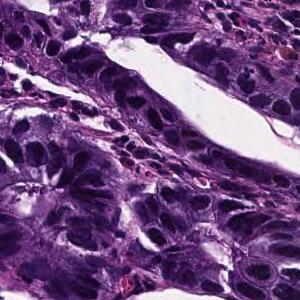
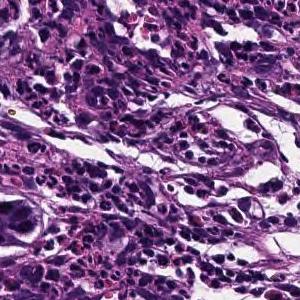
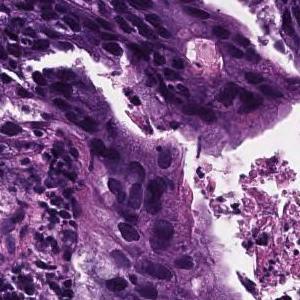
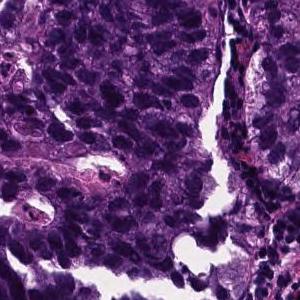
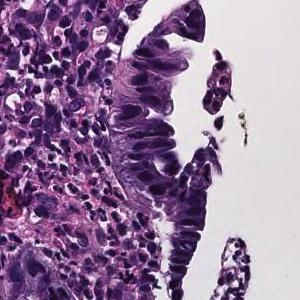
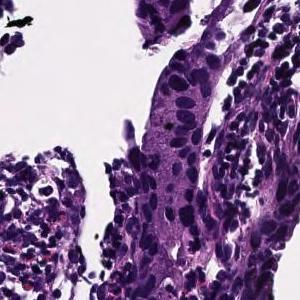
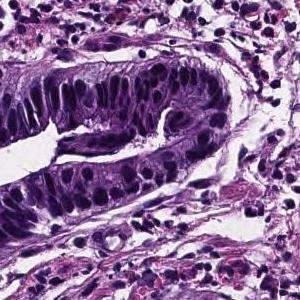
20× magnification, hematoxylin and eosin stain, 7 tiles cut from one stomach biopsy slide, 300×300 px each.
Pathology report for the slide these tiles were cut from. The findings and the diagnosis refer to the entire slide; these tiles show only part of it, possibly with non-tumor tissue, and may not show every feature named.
In the superficial epithelium, tumor tissue that invades by forming medium-sized to small, irregular ducts is observed. Moderately differentiated adenocarcinoma.
Subtype: Moderately differentiated tubular adenocarcinoma.
